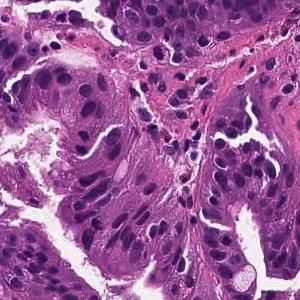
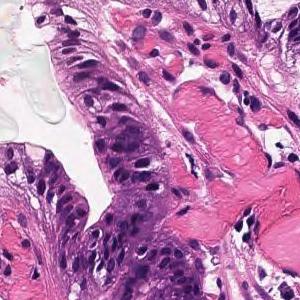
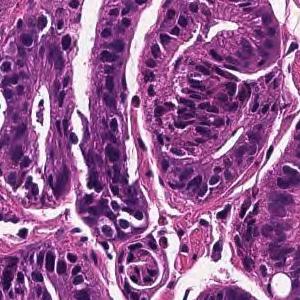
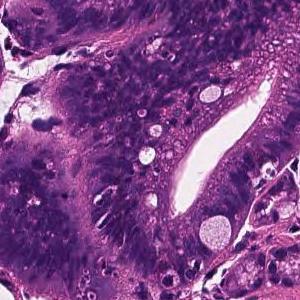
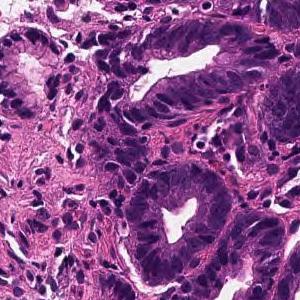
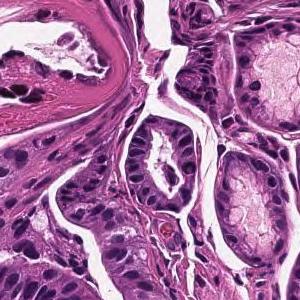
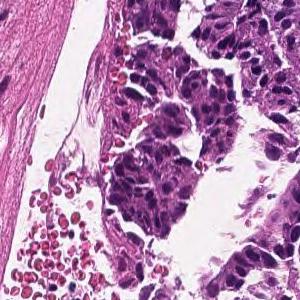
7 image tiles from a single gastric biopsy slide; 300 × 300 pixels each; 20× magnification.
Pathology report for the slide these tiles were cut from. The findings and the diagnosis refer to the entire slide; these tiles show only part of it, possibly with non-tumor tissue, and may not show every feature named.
On the superficial epithelium, tumor tissue that infiltrates by forming medium-sized papillary or small irregular ducts is observed. Papillary adenocarcinoma
